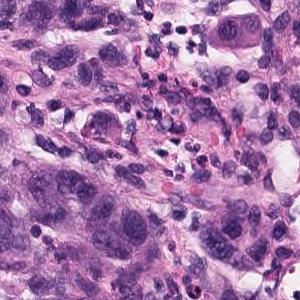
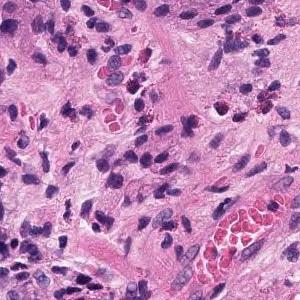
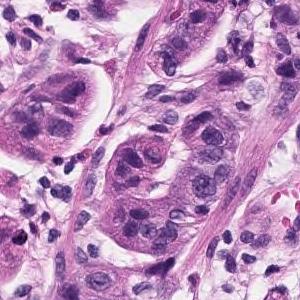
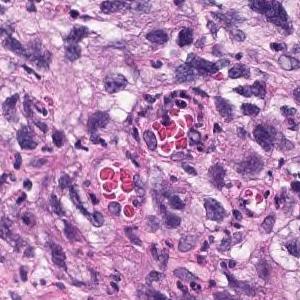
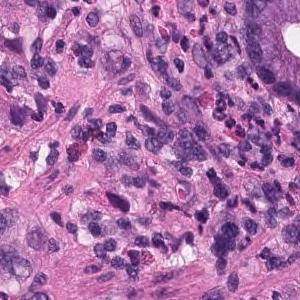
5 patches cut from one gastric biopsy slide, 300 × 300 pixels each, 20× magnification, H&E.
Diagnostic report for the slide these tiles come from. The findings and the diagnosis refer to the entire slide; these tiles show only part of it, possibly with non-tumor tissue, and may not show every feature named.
Atypical l cells with atypical nuclei forming diffuse or small irregular atypical ducts and growing. Moderately to poorly differentiated adenocarcinoma (poorly differentiated adenocarcinoma, solid type, moderately differentiated tubular adenocarcinoma)
Tumor subtype: moderately to poorly differentiated adenocarcinoma.
The term "solid type" comes from the Japanese Classification of Gastric Carcinoma; the WHO 2019 equivalent is tubular adenocarcinoma, poorly differentiated.
